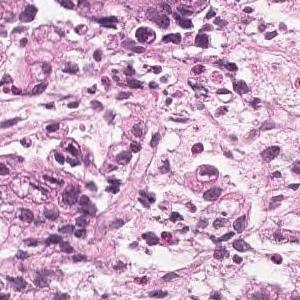
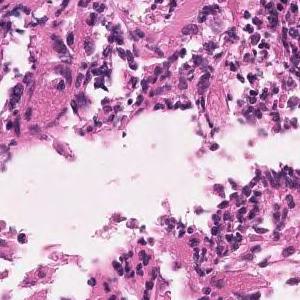
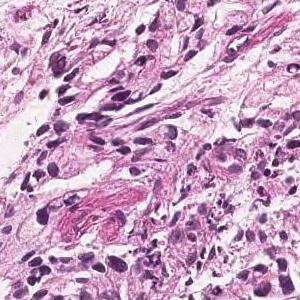
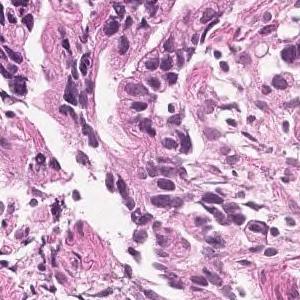
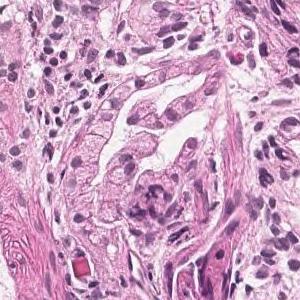
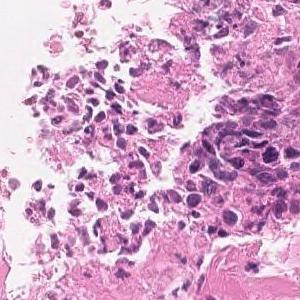
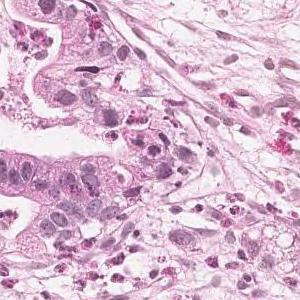
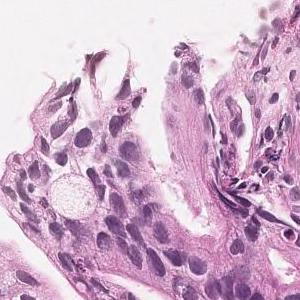
8 tiles from the same stomach biopsy slide; H&E.
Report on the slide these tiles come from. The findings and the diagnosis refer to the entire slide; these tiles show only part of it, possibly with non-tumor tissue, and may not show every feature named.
In the superficial epithelium, medium to small irregular gland ducts are formed, and in some cases, the ducts are fused to show solid alveolar lesions and infiltrating tumor tissue is observed. Moderately to poorly differentiated adenocarcinoma
